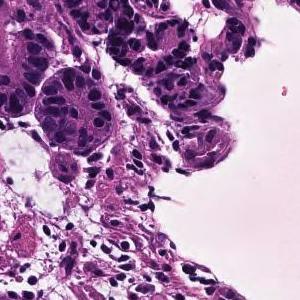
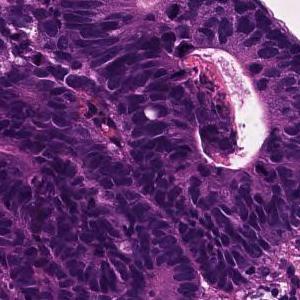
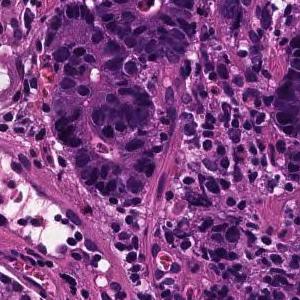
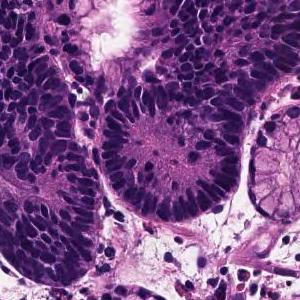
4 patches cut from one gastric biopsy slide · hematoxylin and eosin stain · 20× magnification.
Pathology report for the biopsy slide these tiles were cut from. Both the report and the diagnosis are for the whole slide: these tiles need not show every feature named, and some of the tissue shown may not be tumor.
In the superficial epithelium, tumor tissue that invades by forming medium-sized to small, irregular ducts is observed. moderately differentiated tubular adenocarcinoma.
